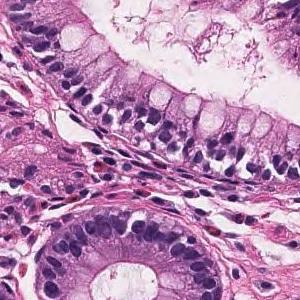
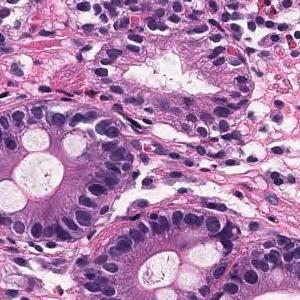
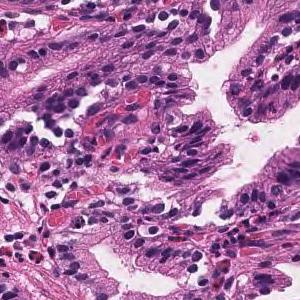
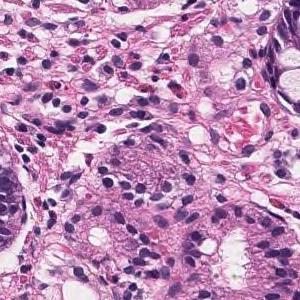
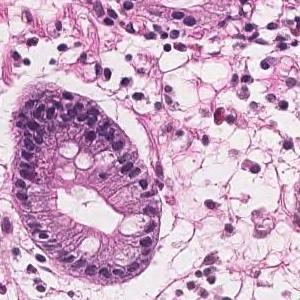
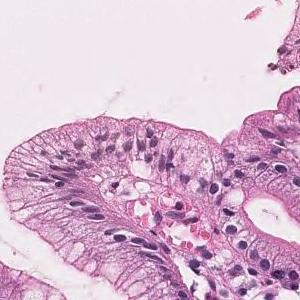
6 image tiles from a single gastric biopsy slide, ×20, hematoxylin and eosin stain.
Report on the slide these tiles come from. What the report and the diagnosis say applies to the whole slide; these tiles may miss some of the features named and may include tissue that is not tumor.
On the superficial epithelium, tumor tissue consisting of large, irregular glandular ducts partially fused and infiltrated is observed. Well differentiated tubular adenocarcinoma
